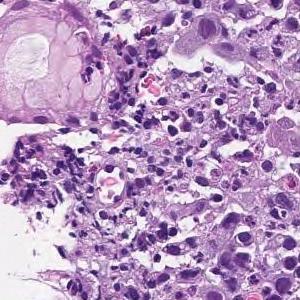
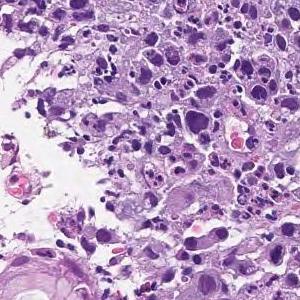
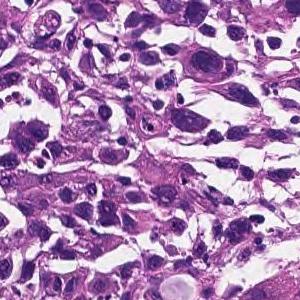
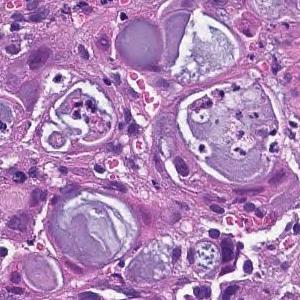
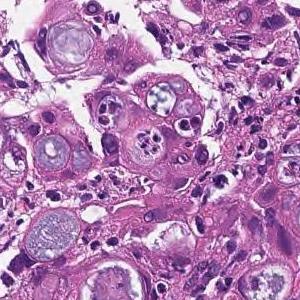
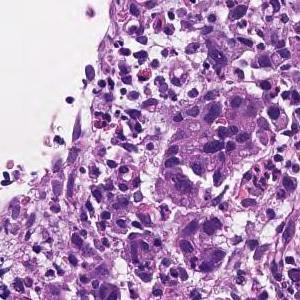
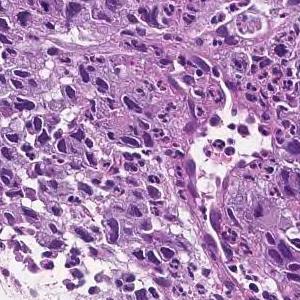
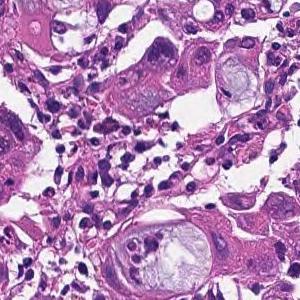
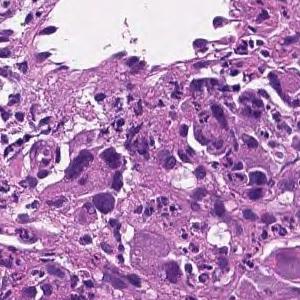
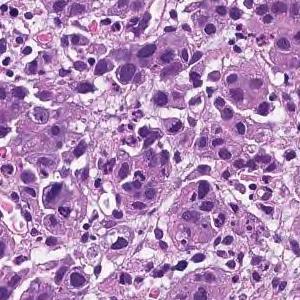
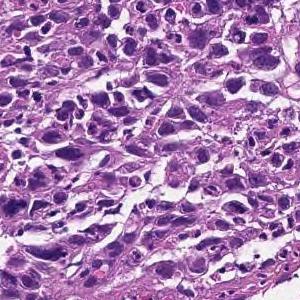
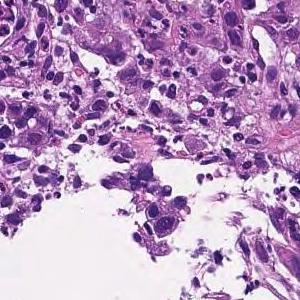
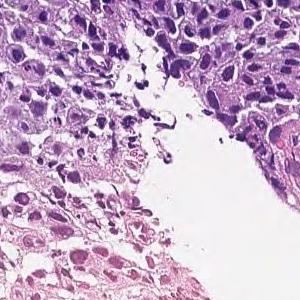
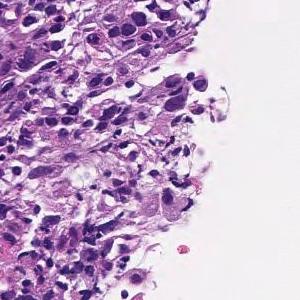
14 tiles from the same stomach biopsy slide · ×20 · H&E.
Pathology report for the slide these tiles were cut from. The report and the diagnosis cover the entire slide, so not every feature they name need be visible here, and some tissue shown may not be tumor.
The superficial epithelium shows a large sheet-like shape, and some tumor tissue infiltrates with small irregular ducts. Poorly differentiated adenocarcinoma, solid-type
Classified as poorly differentiated adenocarcinoma, solid type. This name comes from the Japanese Classification of Gastric Carcinoma; the WHO 2019 classification calls it tubular adenocarcinoma, poorly differentiated.
